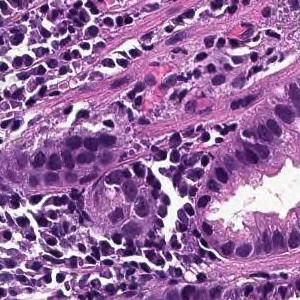
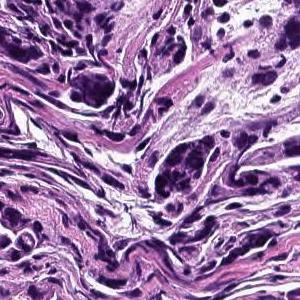
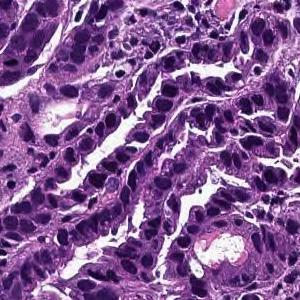
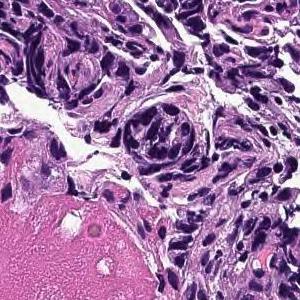
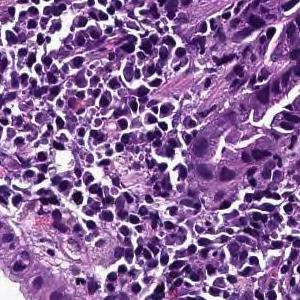
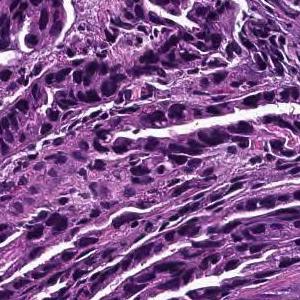
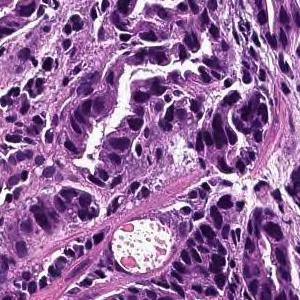
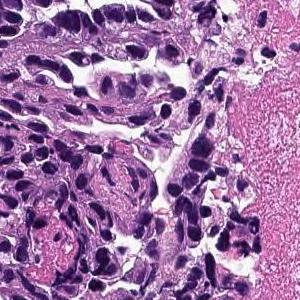
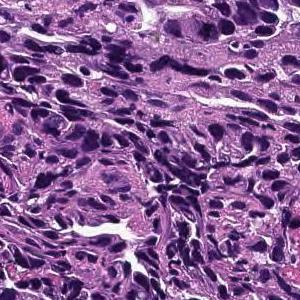
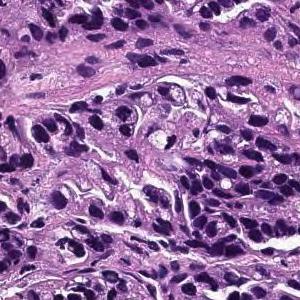
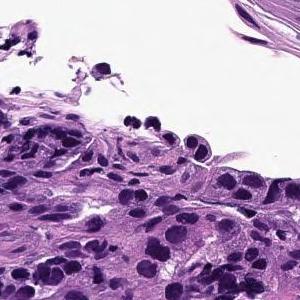
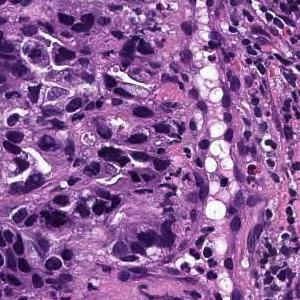
×20 · H&E · 12 tiles from the same stomach biopsy slide · each 300 × 300 pixels.
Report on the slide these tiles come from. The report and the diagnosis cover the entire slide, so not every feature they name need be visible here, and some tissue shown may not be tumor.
Tumor cells are large, highly columnar, large club-shaped nuclei, and are associated with chromatin aggregation. Papillary adenocarcinoma.
